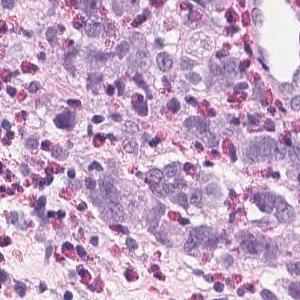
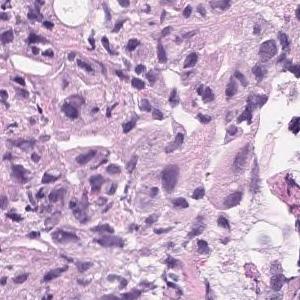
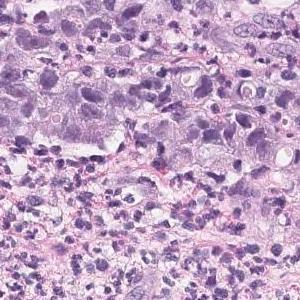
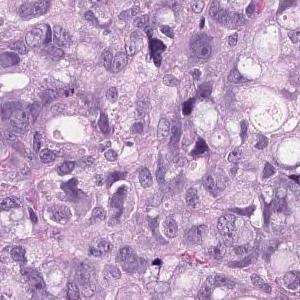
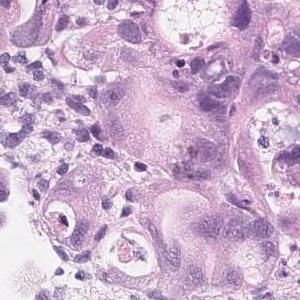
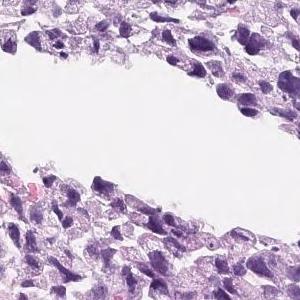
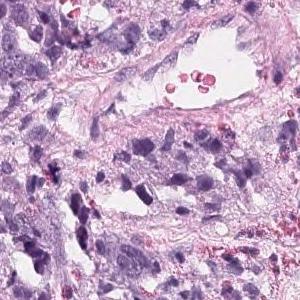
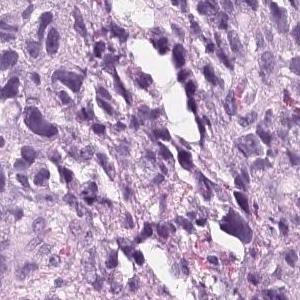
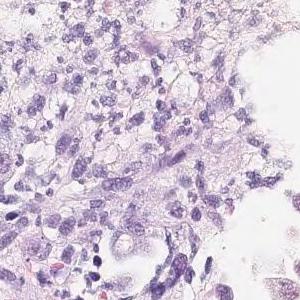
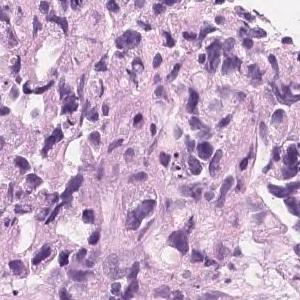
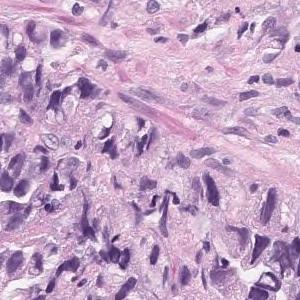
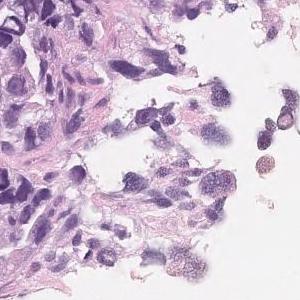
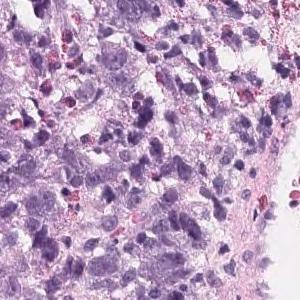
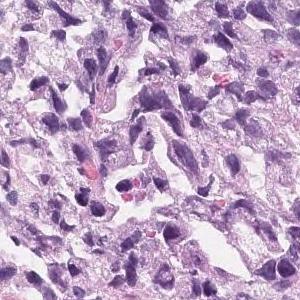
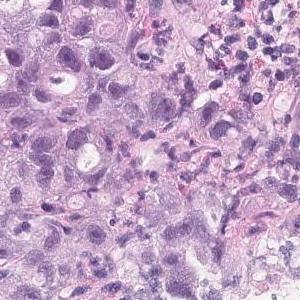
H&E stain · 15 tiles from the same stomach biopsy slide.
The pathologist's report on the biopsy slide these tiles were taken from. The report describes the whole slide, diagnosis included: not every finding it names need appear in these tiles, which may also show non-tumor tissue.
Tumor tissue that infiltrates and proliferates by forming small glandular cavities in the superficial layer to the submucosa or forming a mass is observed. moderately differentiated tubular adenocarcinoma
